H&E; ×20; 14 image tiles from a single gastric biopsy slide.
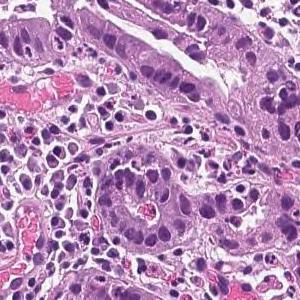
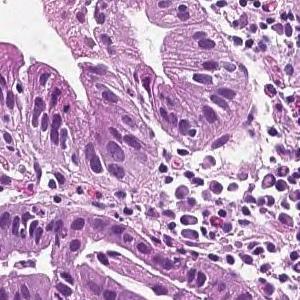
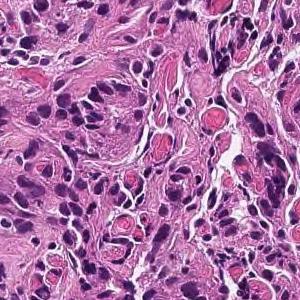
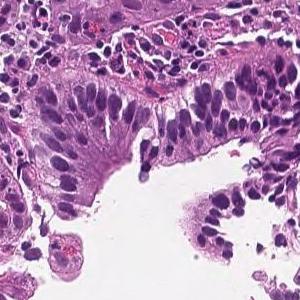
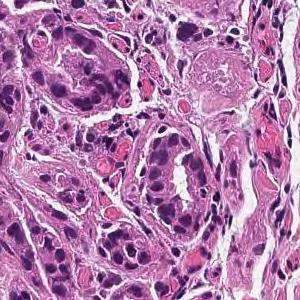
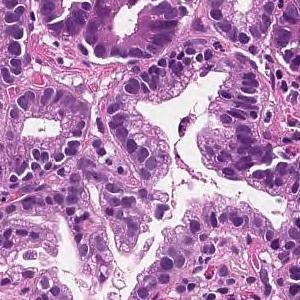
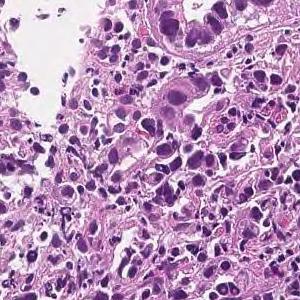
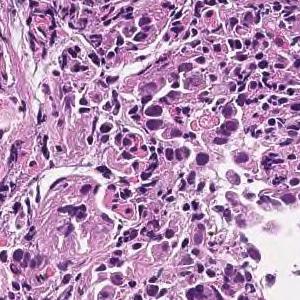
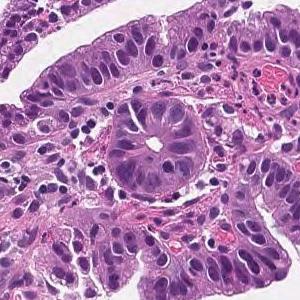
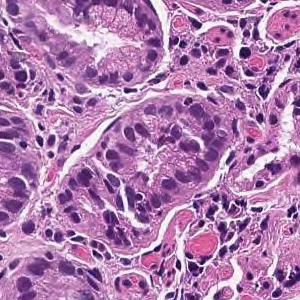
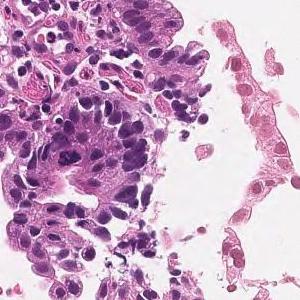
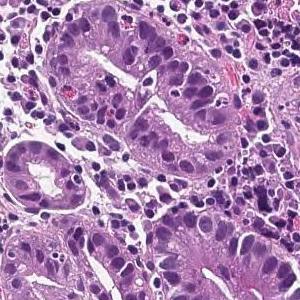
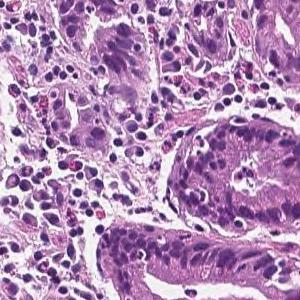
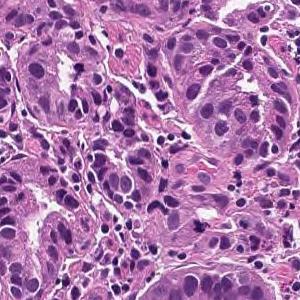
Pathology report for the slide these tiles were cut from. Both the report and the diagnosis are for the whole slide: these tiles need not show every feature named, and some of the tissue shown may not be tumor.
On the superficial epithelium, tumor tissue consisting of large irregular glandular ducts partially fused and infiltrated is observed. Well to moderately differentiated tubular adenocarcinoma (well differentiated tubular adenocarcinoma, moderately differentiated tubular adenocarcinoma)
Classified as well to moderately differentiated tubular adenocarcinoma.
